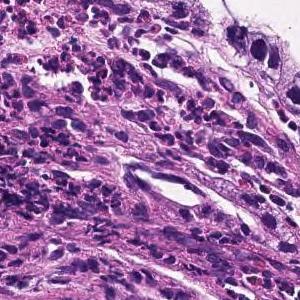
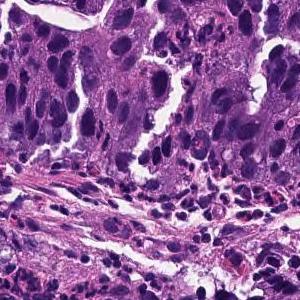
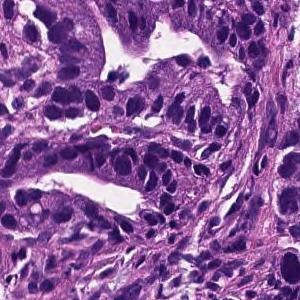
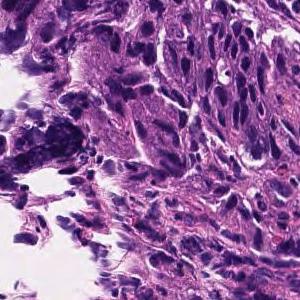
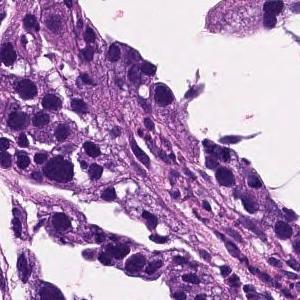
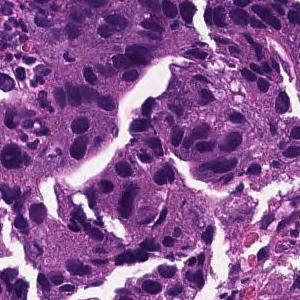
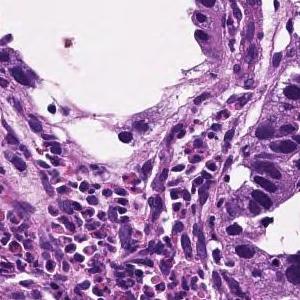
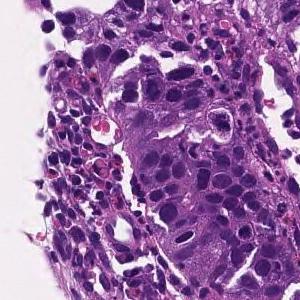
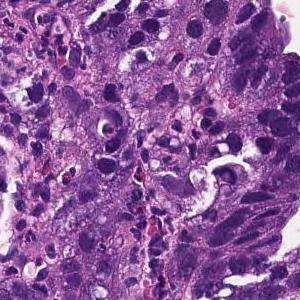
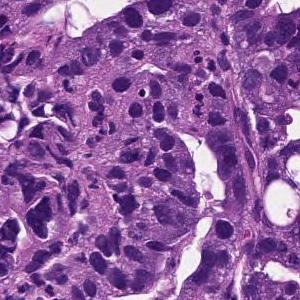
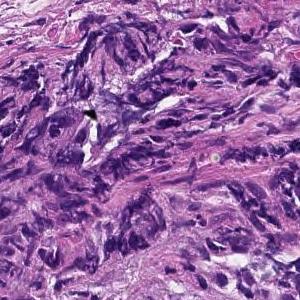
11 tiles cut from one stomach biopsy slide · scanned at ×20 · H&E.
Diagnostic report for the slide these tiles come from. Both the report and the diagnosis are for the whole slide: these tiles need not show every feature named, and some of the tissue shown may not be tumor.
Tumor tissue consisting of large papillary structures is found in the superficial epithelium. Papillary adenocarcinoma.
